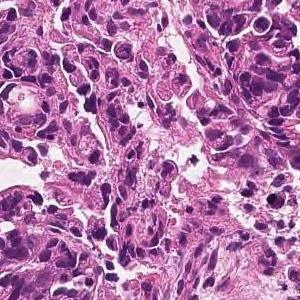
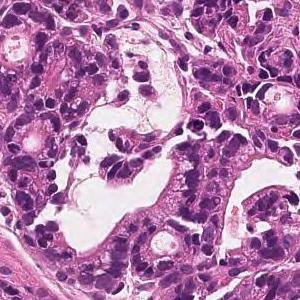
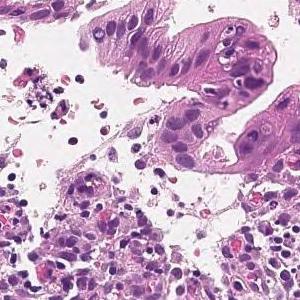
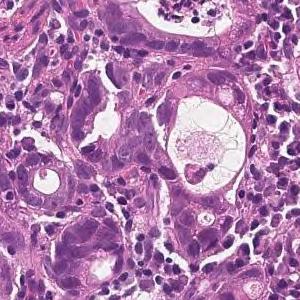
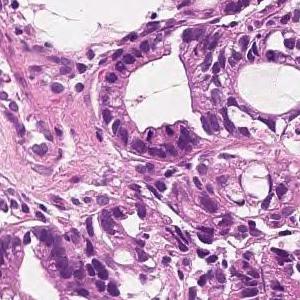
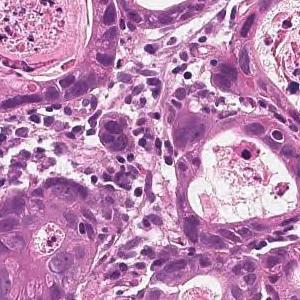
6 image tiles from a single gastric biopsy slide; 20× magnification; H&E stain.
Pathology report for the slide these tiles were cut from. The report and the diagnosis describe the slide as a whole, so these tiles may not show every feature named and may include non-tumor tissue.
On the superficial epithelium, tumor tissue is found in which medium-sized irregular gland ducts fuse with each other and infiltrate. moderately differentiated tubular adenocarcinoma
